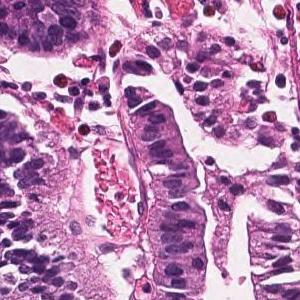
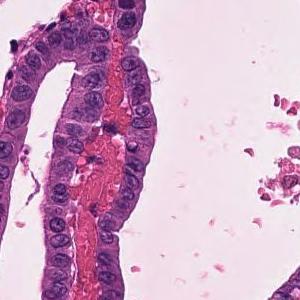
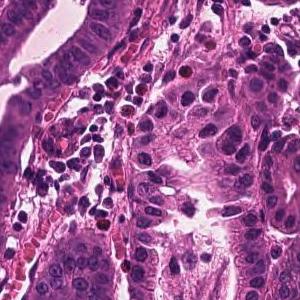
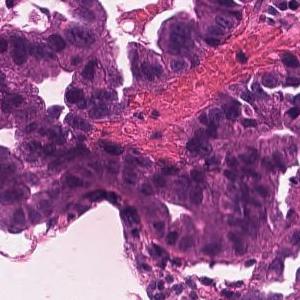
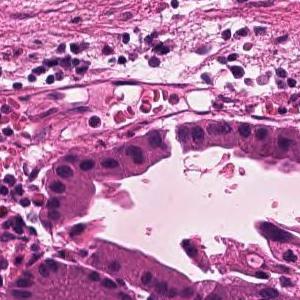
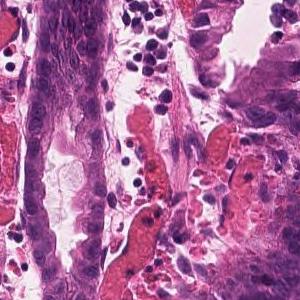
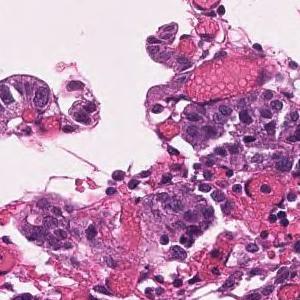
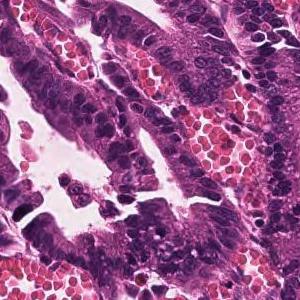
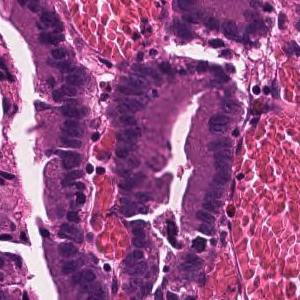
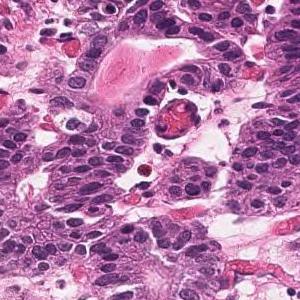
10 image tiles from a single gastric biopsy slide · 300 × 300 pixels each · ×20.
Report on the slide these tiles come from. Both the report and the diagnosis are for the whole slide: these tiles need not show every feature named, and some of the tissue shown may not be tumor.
Infiltrating tumor tissue with medium-sized, irregular ductal structure or large papillary appearance is observed. Well differentiated tubular adenocarcinoma
